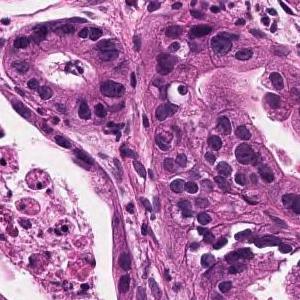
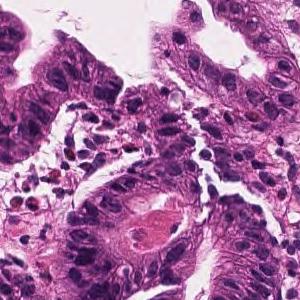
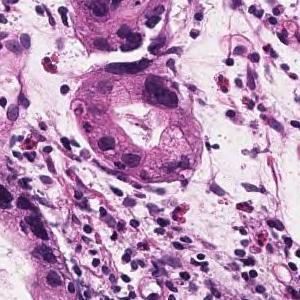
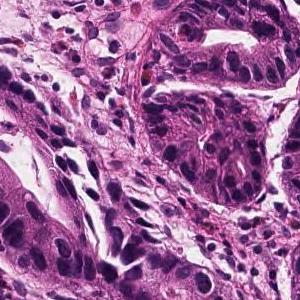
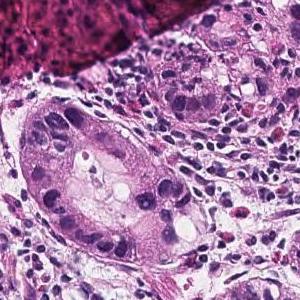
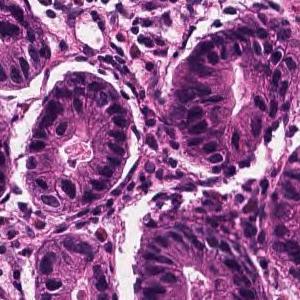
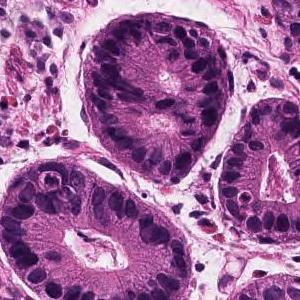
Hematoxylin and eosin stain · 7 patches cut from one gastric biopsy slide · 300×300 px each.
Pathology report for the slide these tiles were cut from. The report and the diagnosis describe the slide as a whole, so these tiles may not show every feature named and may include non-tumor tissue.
Tumor tissue in which medium to small irregular ducts infiltrate and proliferate in the submucosa can be seen in the epithelium. Well differentiated tubular adenocarcinoma
